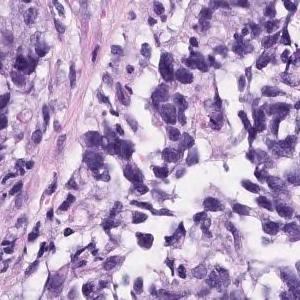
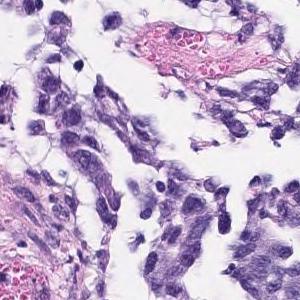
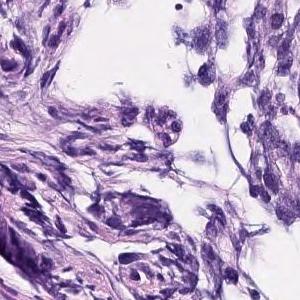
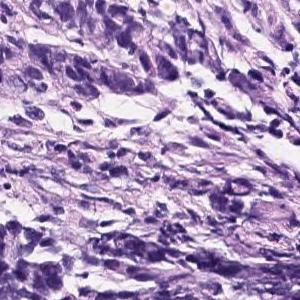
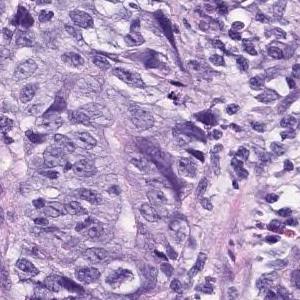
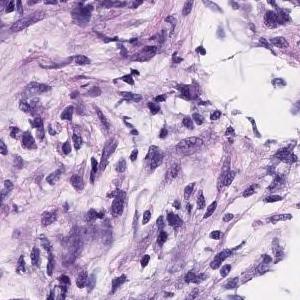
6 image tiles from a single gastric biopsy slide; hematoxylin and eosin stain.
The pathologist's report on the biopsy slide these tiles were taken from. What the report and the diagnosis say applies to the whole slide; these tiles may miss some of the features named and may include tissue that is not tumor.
The superficial epithelium shows a large sheet-like shape, and some tumor tissue infiltrates with small irregular ducts. Poorly differentiated adenocarcinoma, solid-type
Histological subtype: Poorly differentiated adenocarcinoma, solid type. This name comes from the Japanese Classification of Gastric Carcinoma; the WHO 2019 classification calls it tubular adenocarcinoma, poorly differentiated.
